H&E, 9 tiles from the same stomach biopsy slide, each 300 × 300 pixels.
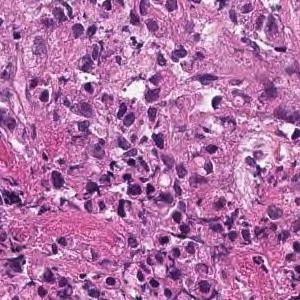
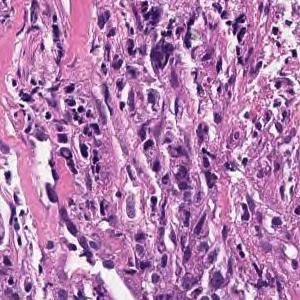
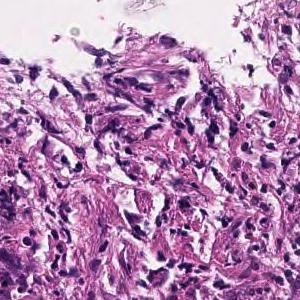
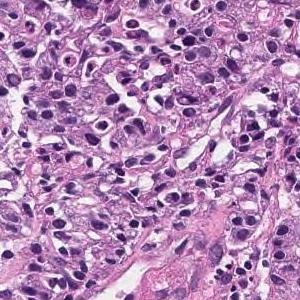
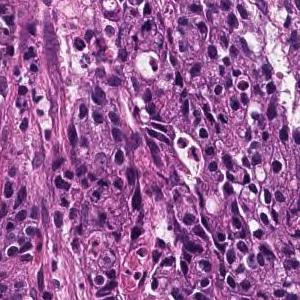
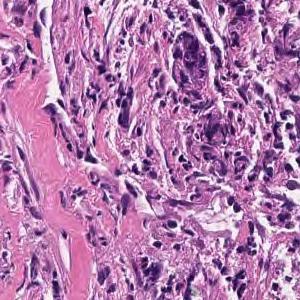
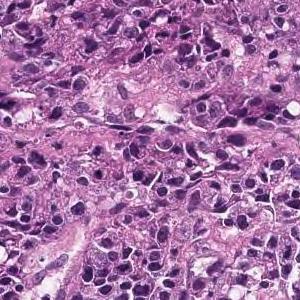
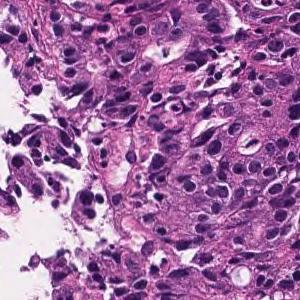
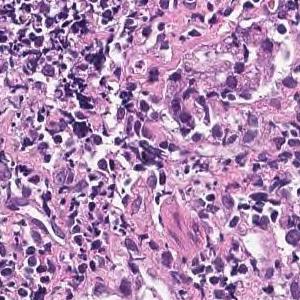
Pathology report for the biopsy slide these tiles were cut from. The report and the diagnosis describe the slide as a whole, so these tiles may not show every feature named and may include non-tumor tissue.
Medium to small, irregular glandular ducts are formed in the superficial epithelium, and in some cases, the glandular ducts are fused to show solid alveolar lesions and infiltrating tumor tissue is observed. Moderately to poorly differentiated adenocarcinoma.
